10 tiles cut from one stomach biopsy slide · H&E stain.
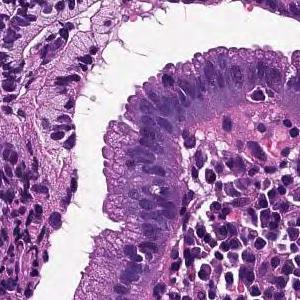
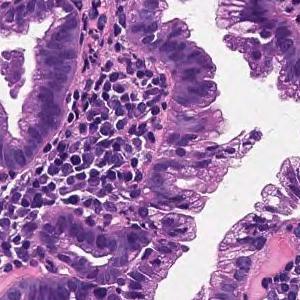
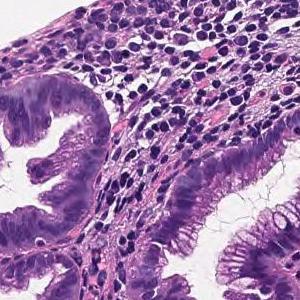
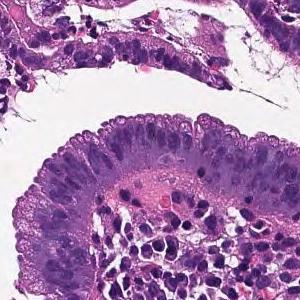
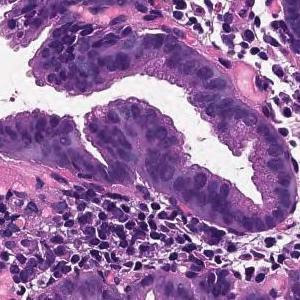
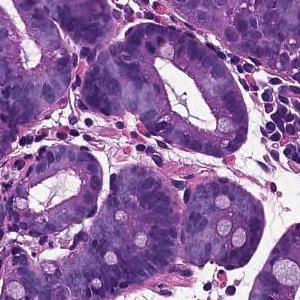
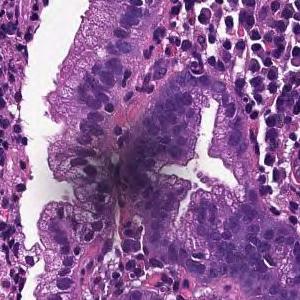
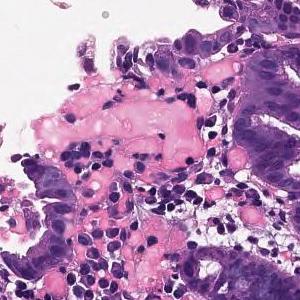
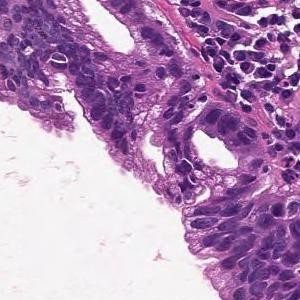
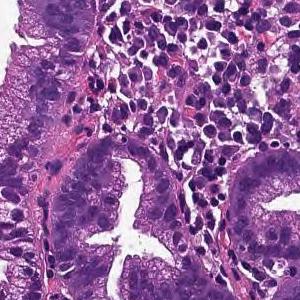
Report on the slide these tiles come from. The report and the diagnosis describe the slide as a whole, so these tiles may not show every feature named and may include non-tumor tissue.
From the superficial epithelium to the muscularis mucosae, tumor tissue consisting of medium-sized and irregular glandular ducts infiltrating is observed. Well differentiated tubular adenocarcinoma
